H&E · 9 tiles cut from one stomach biopsy slide.
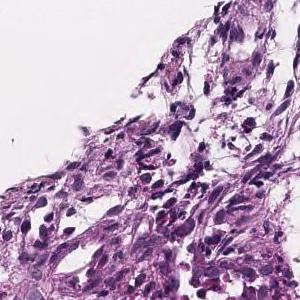
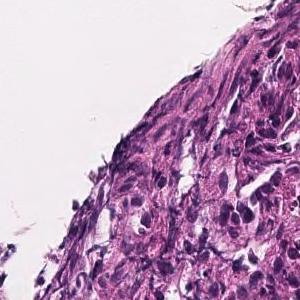
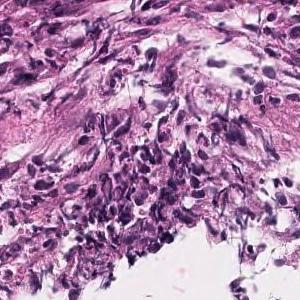
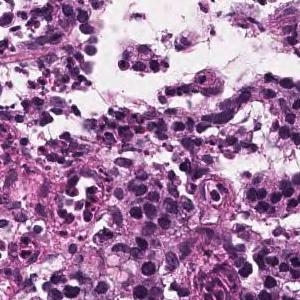
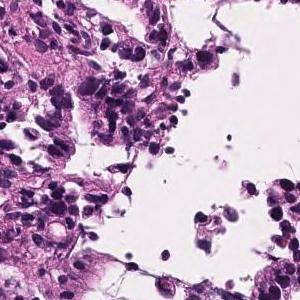
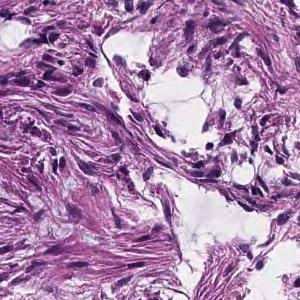
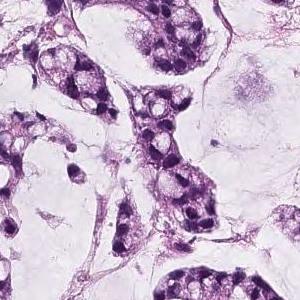
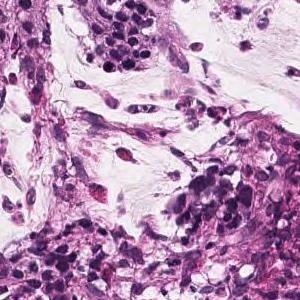
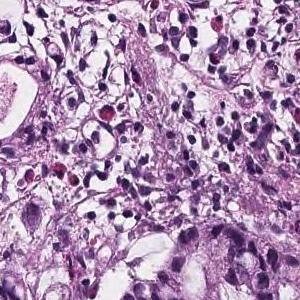
Report on the slide these tiles come from. What the report and the diagnosis say applies to the whole slide; these tiles may miss some of the features named and may include tissue that is not tumor.
Atypical epithelial cells form obscure ductal structures or small solid follicles, and tumor tissue that proliferates invasively with proliferation of inflammatory granulation tissue is observed. Mucinous adenocarcinoma .
